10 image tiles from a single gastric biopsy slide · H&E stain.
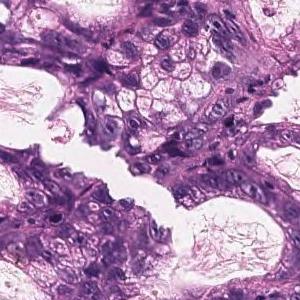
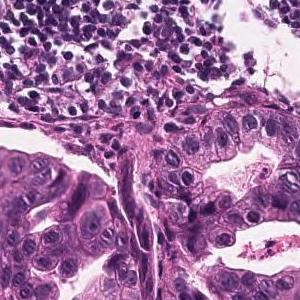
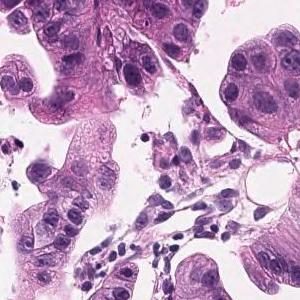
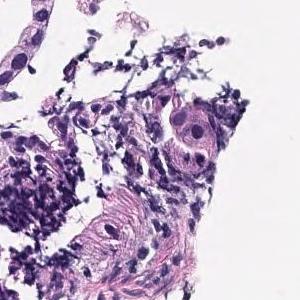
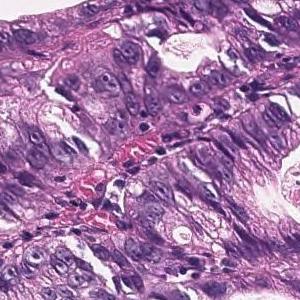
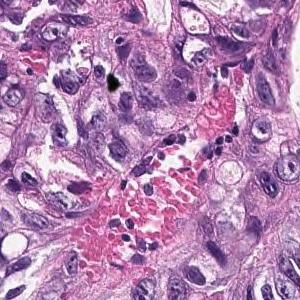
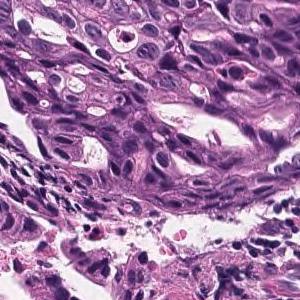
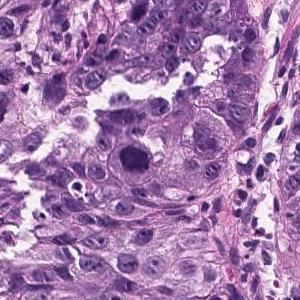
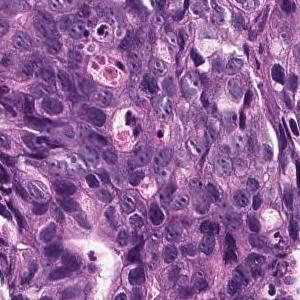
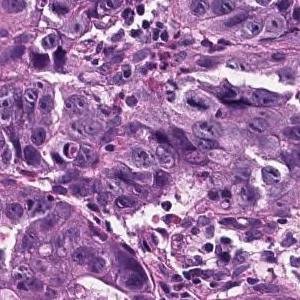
Report on the slide these tiles come from. Both the report and the diagnosis are for the whole slide: these tiles need not show every feature named, and some of the tissue shown may not be tumor.
Tumor cells are large, highly columnar, large club-shaped nuclei, and are associated with chromatin aggregation. Papillary adenocarcinoma.
